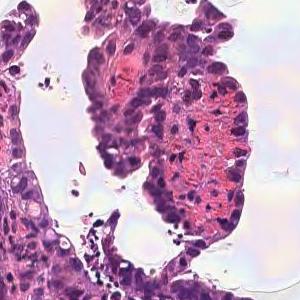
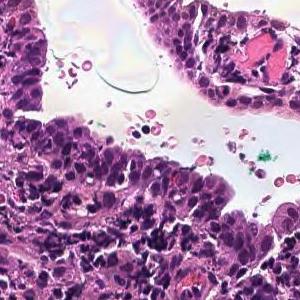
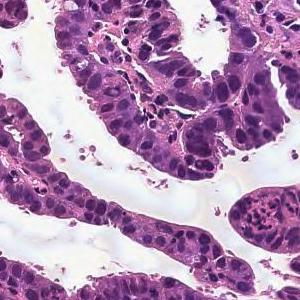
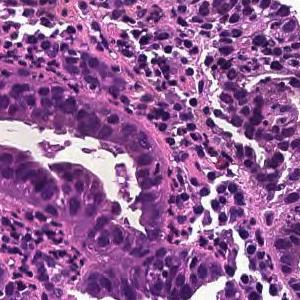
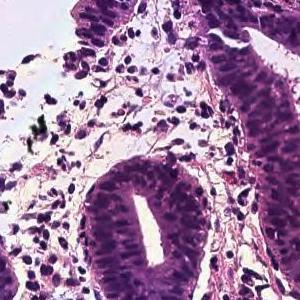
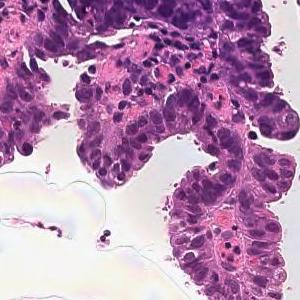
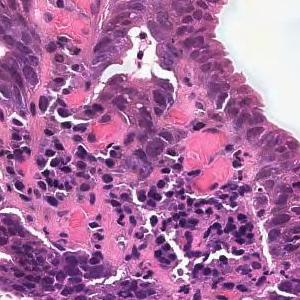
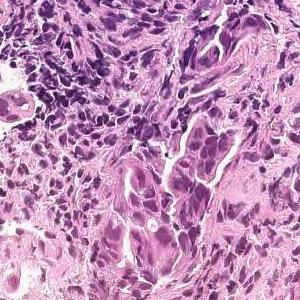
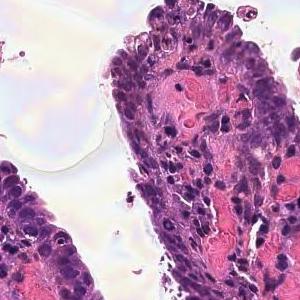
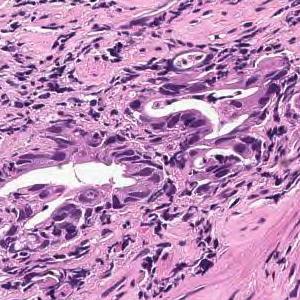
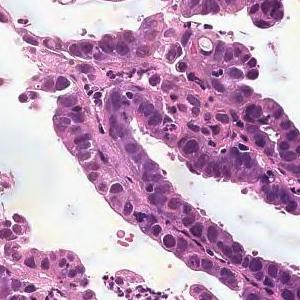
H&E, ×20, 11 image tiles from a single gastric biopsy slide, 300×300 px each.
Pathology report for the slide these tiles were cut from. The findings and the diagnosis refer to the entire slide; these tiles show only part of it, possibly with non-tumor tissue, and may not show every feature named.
From the superficial epithelium to the muscularis mucosae, tumor tissue consisting of medium-sized and irregular glandular ducts infiltrating is observed. Well differentiated tubular adenocarcinoma
